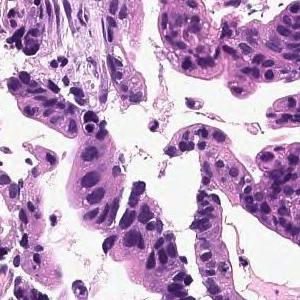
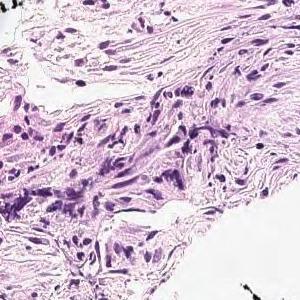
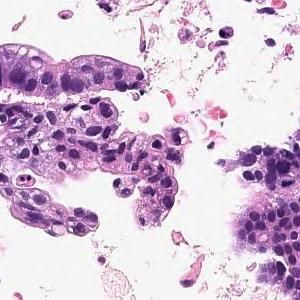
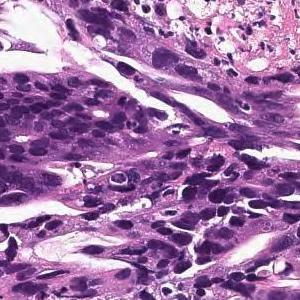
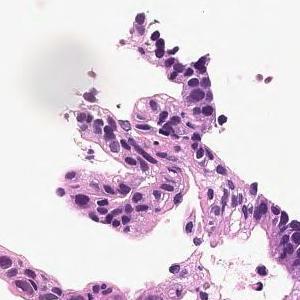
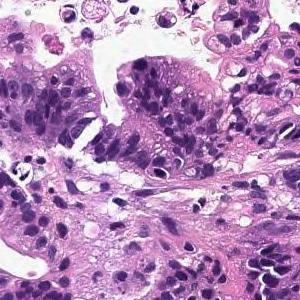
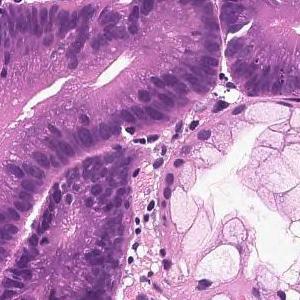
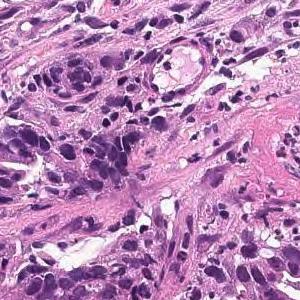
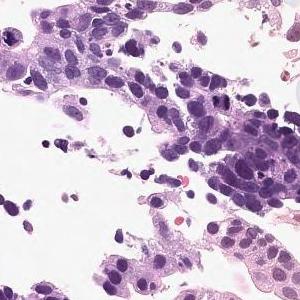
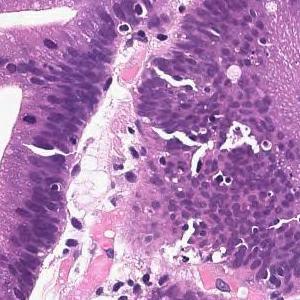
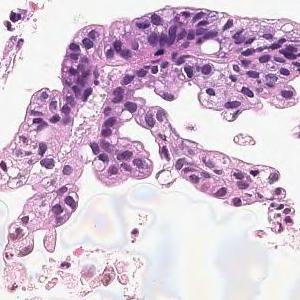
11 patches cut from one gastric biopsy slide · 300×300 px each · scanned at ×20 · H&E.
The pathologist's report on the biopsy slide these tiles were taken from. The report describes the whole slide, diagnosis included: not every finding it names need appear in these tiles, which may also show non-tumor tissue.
In the superficial epithelium, tumor tissue that invades by forming medium-sized to small, irregular ducts is observed. moderately differentiated tubular adenocarcinoma.
